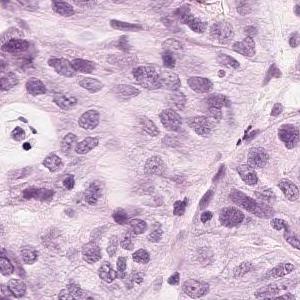
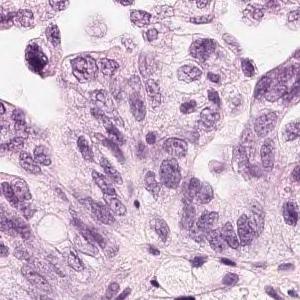
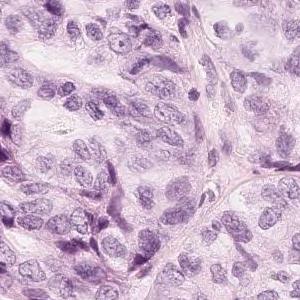
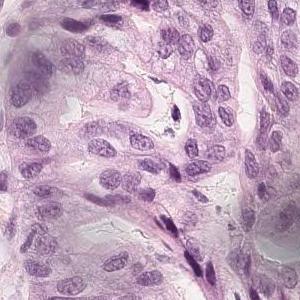
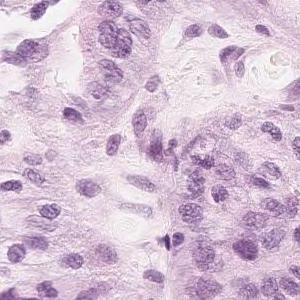
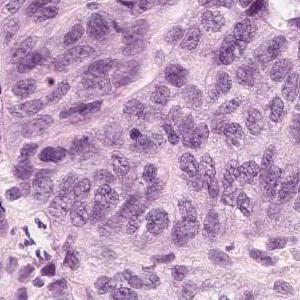
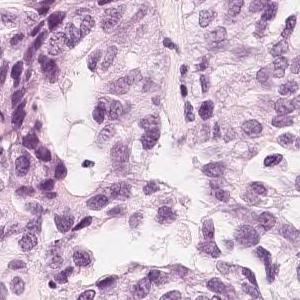
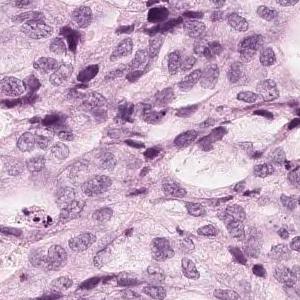
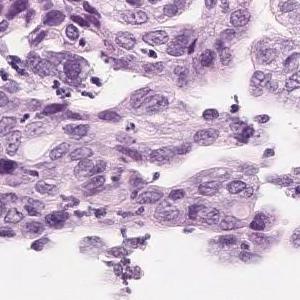
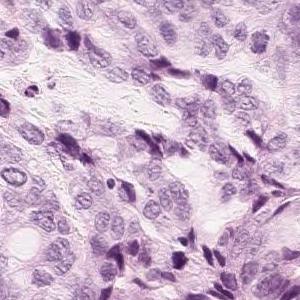
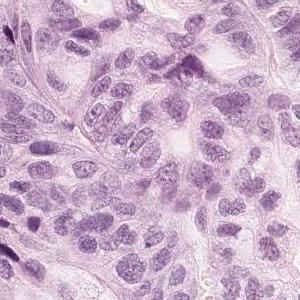
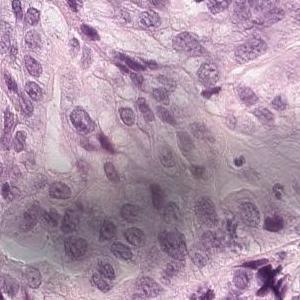
12 tiles from the same stomach biopsy slide, 300×300 px each, scanned at ×20, hematoxylin and eosin stain.
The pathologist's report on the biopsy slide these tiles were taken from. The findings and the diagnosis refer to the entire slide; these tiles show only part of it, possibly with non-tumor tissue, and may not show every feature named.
Tumor tissue in which medium-sized atypical epithelial cells with a large N/C ratio grow densely while becoming alveolar to cord-like with duct formation is observed. moderately differentiated tubular adenocarcinoma
